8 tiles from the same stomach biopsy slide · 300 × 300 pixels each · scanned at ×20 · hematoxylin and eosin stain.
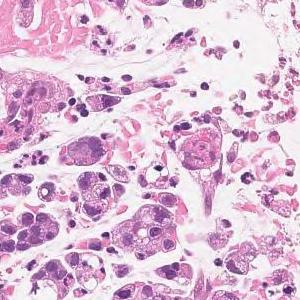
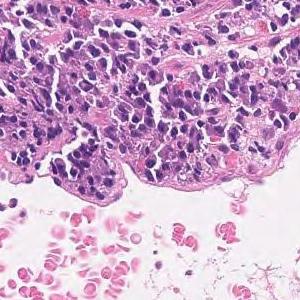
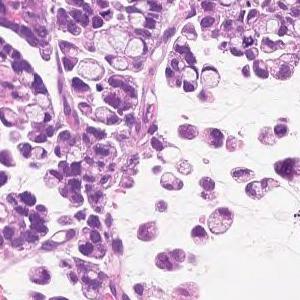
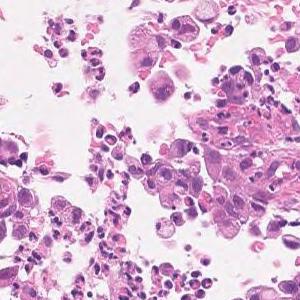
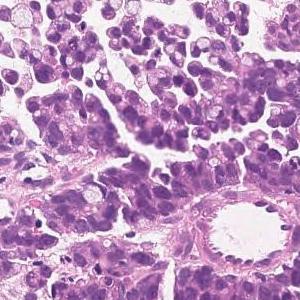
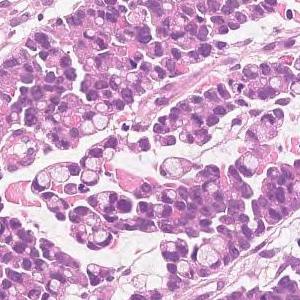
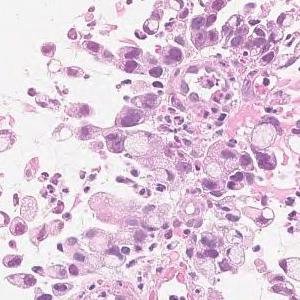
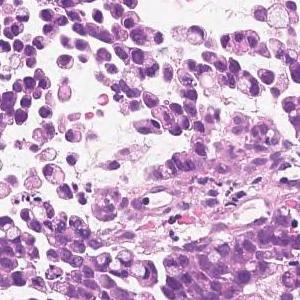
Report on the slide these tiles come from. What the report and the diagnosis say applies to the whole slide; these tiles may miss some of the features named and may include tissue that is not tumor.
Medium to small, irregular glandular ducts are formed in the superficial epithelium, and in some cases, the glandular ducts are fused to show solid alveolar lesions and infiltrating tumor tissue is observed. Moderately to poorly differentiated adenocarcinoma.
